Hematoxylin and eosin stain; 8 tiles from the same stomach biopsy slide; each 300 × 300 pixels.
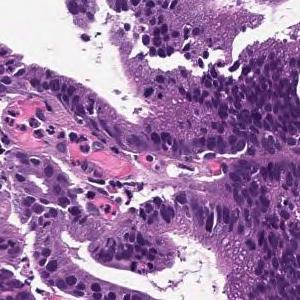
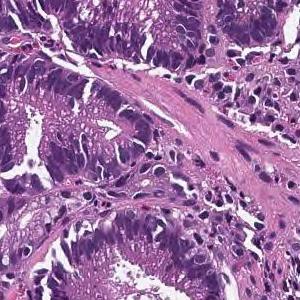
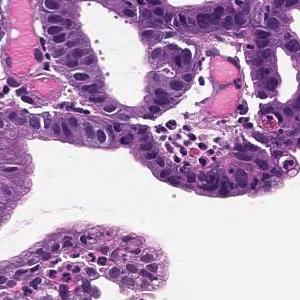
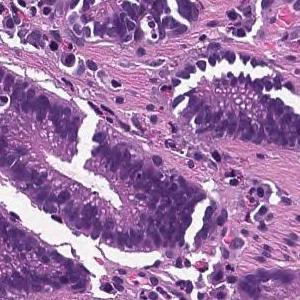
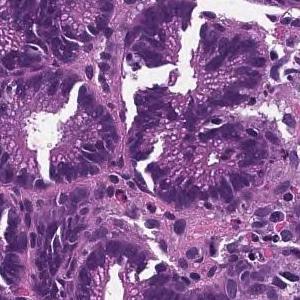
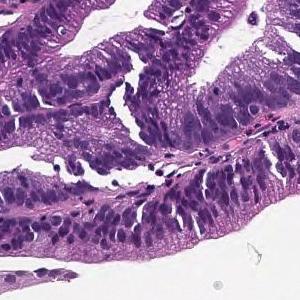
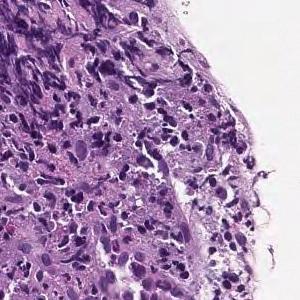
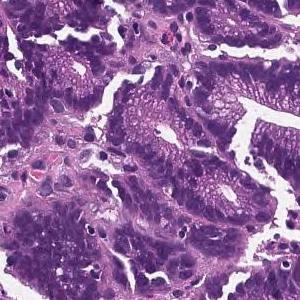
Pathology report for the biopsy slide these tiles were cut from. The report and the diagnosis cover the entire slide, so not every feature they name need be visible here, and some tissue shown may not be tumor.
From the superficial epithelium to the muscularis mucosae, tumor tissue consisting of medium-sized and irregular glandular ducts infiltrating is observed. Well differentiated tubular adenocarcinoma
